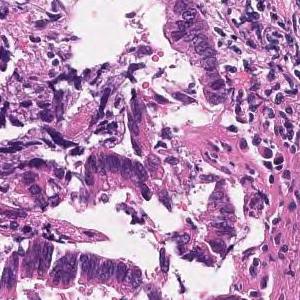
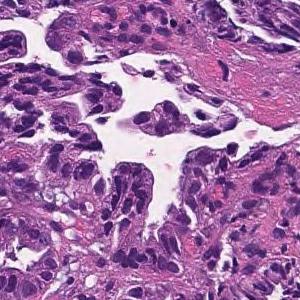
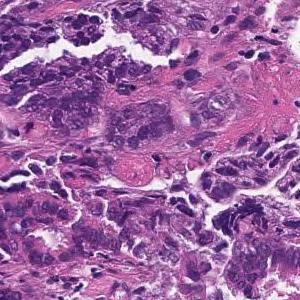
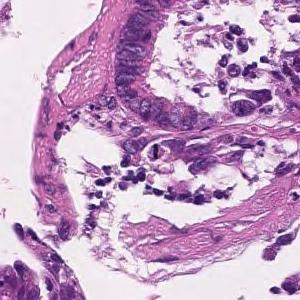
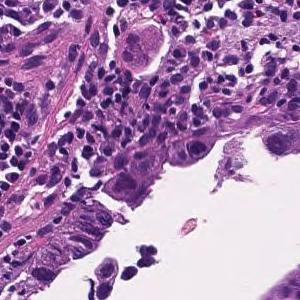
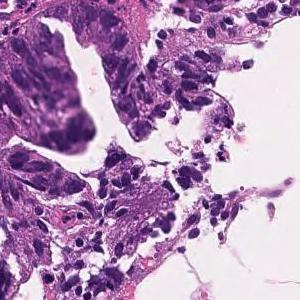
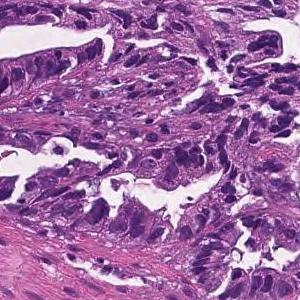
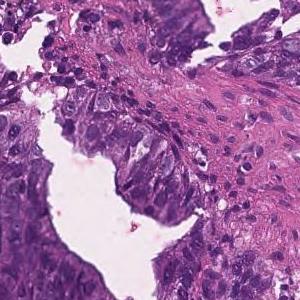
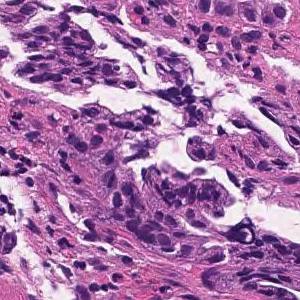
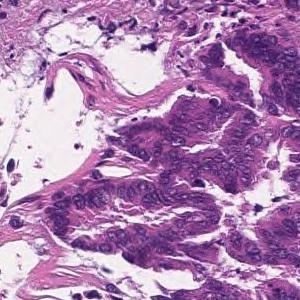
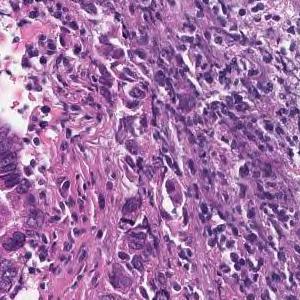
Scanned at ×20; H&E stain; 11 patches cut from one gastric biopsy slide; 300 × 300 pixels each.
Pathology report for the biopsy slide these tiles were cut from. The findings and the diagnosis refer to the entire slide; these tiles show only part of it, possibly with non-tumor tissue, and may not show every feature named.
On the superficial epithelium, tumor tissue consisting of large, irregular glandular ducts partially fused and infiltrated is observed. Well to moderately differentiated tubular adenocarcinoma (well differentiated tubular adenocarcinoma, moderately differentiated tubular adenocarcinoma)
Subtype: Well to moderately differentiated tubular adenocarcinoma.
